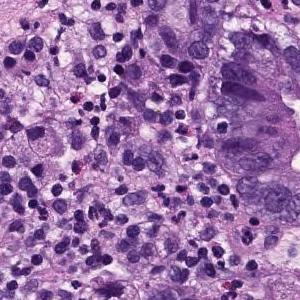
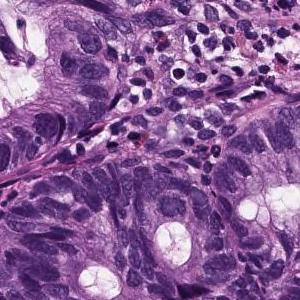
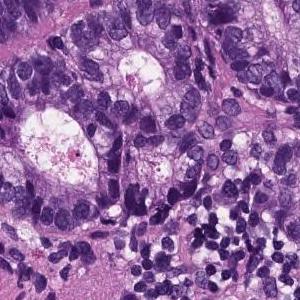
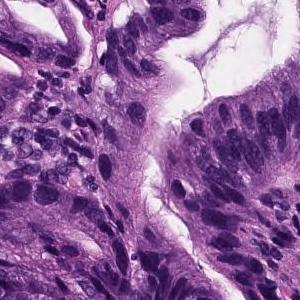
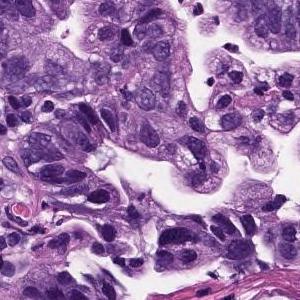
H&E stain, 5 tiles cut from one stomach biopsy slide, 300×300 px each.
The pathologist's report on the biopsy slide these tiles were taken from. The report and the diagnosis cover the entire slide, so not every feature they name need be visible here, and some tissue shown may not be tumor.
In the superficial epithelium, tumor tissue that invades by forming medium-sized to small, irregular ducts is observed. Moderately differentiated adenocarcinoma.
Histological subtype: Moderately differentiated tubular adenocarcinoma.
